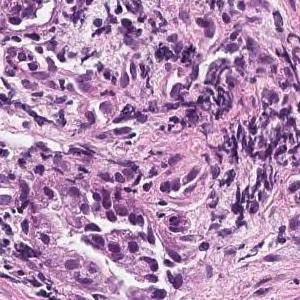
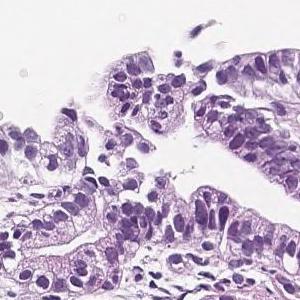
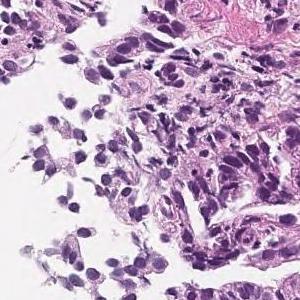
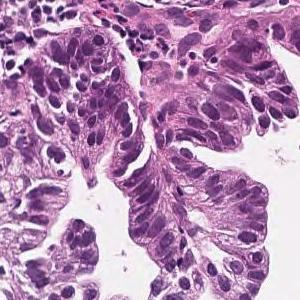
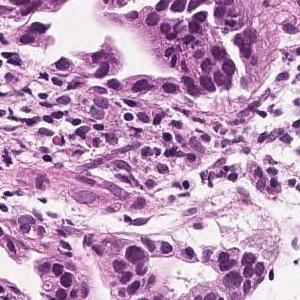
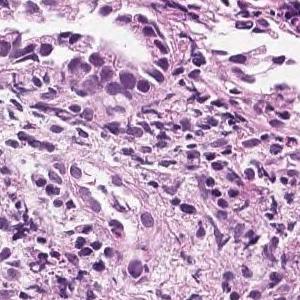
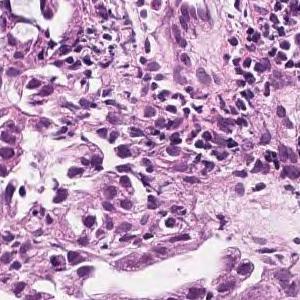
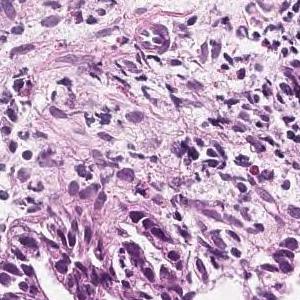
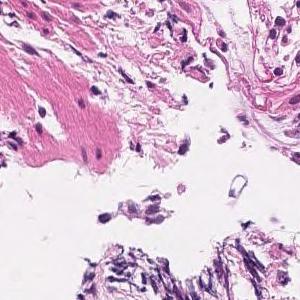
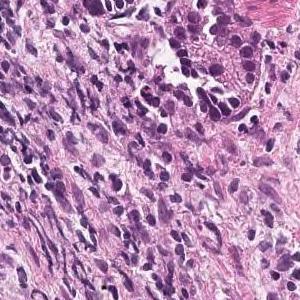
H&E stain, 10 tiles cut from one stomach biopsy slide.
Report on the slide these tiles come from. The findings and the diagnosis refer to the entire slide; these tiles show only part of it, possibly with non-tumor tissue, and may not show every feature named.
In the superficial epithelium, tumor tissue that invades by forming medium-sized to small, irregular ducts is observed. moderately differentiated tubular adenocarcinoma.
